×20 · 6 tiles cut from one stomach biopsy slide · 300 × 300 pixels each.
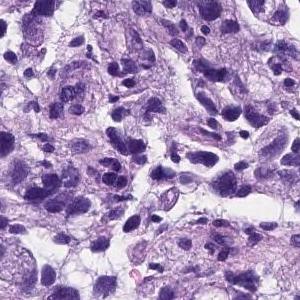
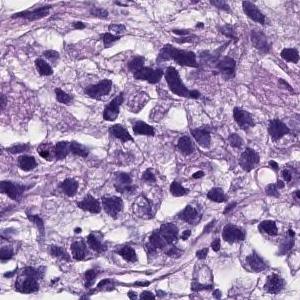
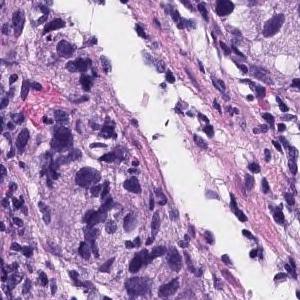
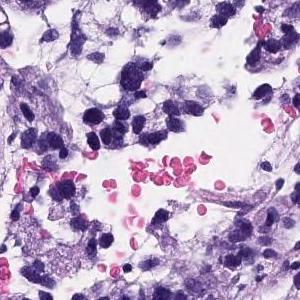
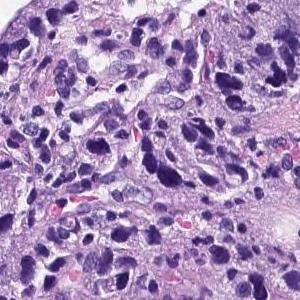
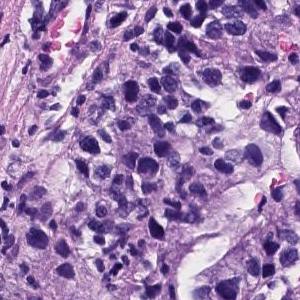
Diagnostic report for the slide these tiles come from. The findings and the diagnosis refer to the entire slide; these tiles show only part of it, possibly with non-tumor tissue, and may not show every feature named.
Medium to small, irregular glandular ducts are formed in the superficial epithelium, and in some cases, the glandular ducts are fused to show solid alveolar lesions and infiltrating tumor tissue is observed. Poorly differentiated adenocarcinoma, Moderately differentiated adenocarcinoma.
Labeled in the dataset as moderately differentiated tubular adenocarcinoma.
